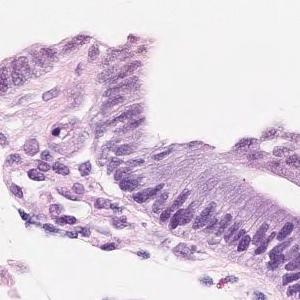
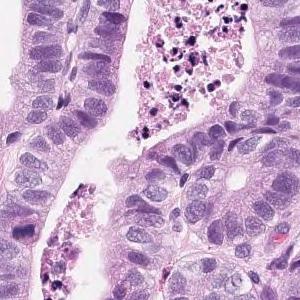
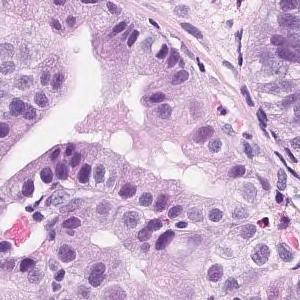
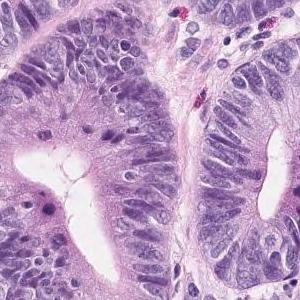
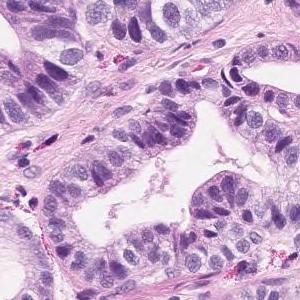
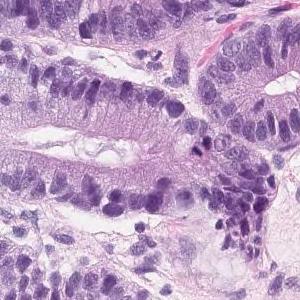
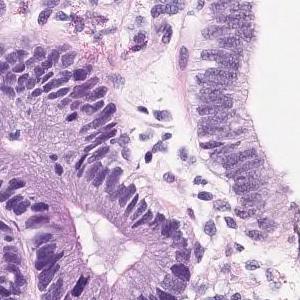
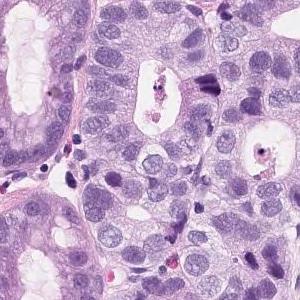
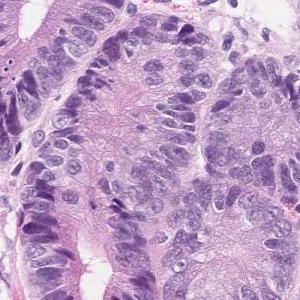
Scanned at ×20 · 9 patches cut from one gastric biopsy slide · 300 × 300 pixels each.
The pathologist's report on the biopsy slide these tiles were taken from. The report describes the whole slide, diagnosis included: not every finding it names need appear in these tiles, which may also show non-tumor tissue.
Short atypical epithelium with swelling of the nucleus shows proliferating, large and small irregular ductal structures. Well to moderately differentiated tubular adenocarcinoma (well differentiated tubular adenocarcinoma-moderately differentiated tubular adenocarcinoma)
Histological subtype: Well to moderately differentiated tubular adenocarcinoma.
